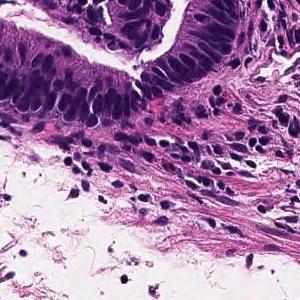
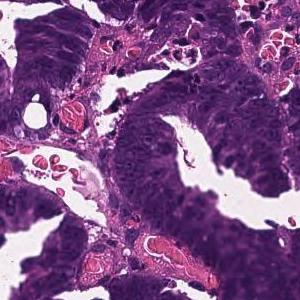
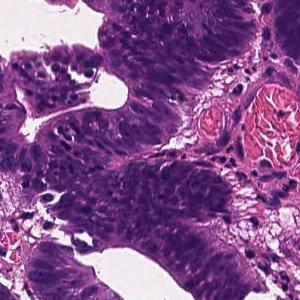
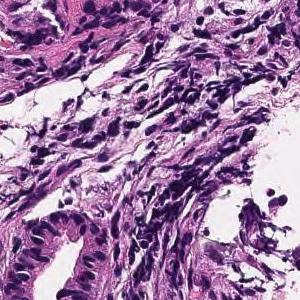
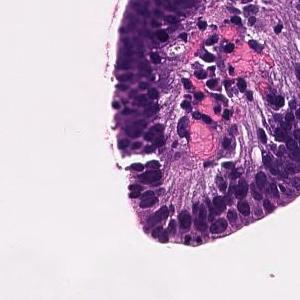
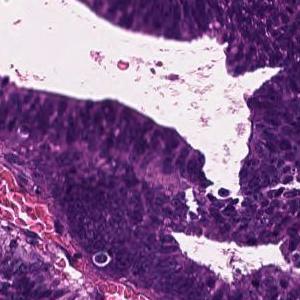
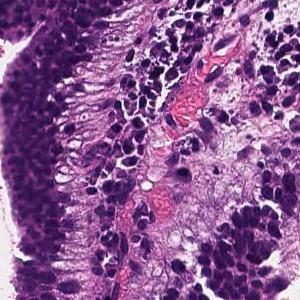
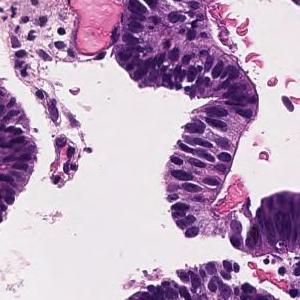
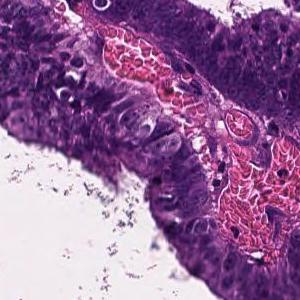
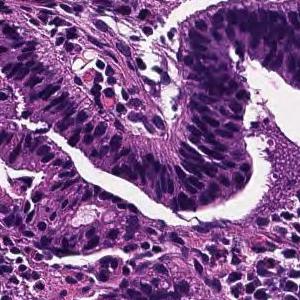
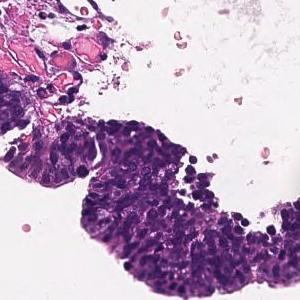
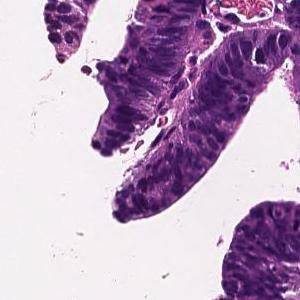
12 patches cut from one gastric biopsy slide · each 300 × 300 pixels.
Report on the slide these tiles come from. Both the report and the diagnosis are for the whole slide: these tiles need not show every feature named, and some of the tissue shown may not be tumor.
Tumor tissue consisting of large papillary structures is found in the superficial epithelium. Papillary adenocarcinoma.
